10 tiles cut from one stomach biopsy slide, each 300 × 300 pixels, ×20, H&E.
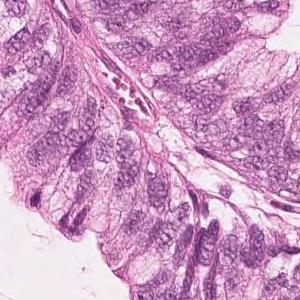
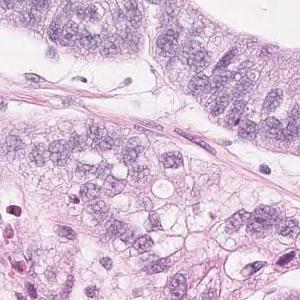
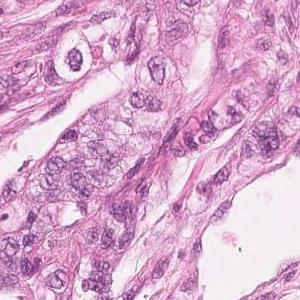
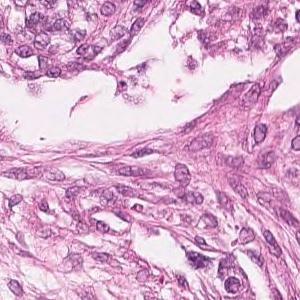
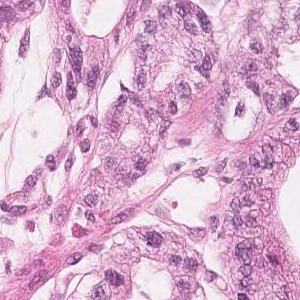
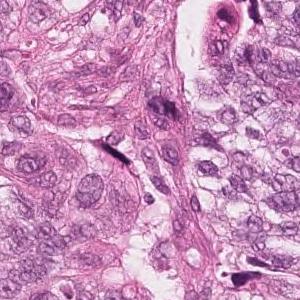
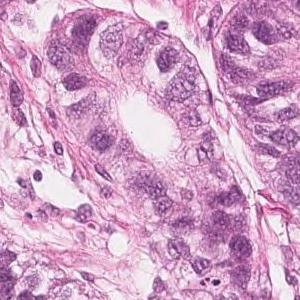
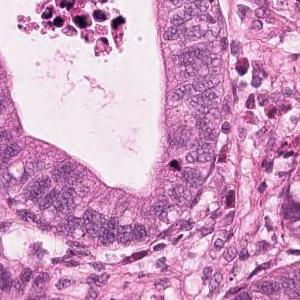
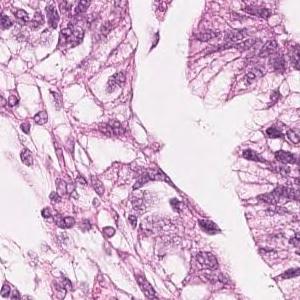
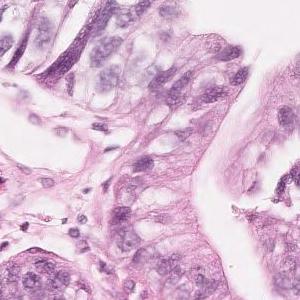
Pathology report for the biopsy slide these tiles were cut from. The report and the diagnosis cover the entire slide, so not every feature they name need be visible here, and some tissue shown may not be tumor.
Highly columnar epithelium with disordered nuclear localization proliferates showing fusion ductal construction. moderately differentiated tubular adenocarcinoma
